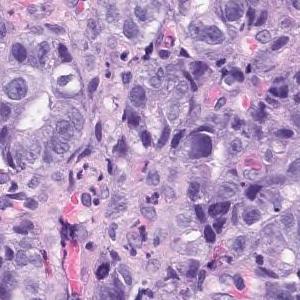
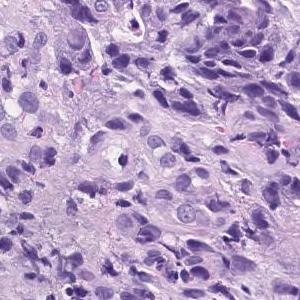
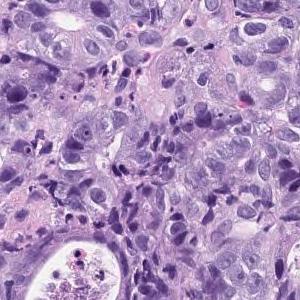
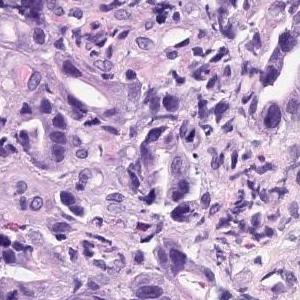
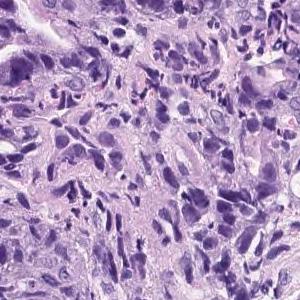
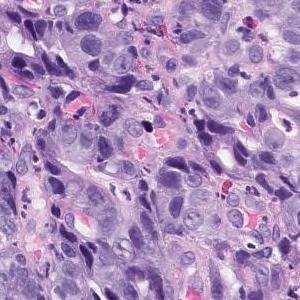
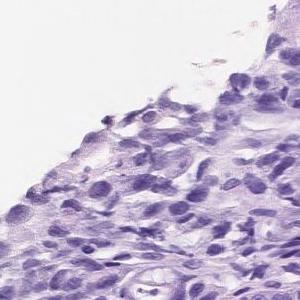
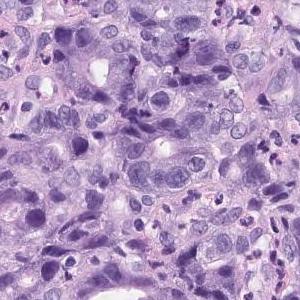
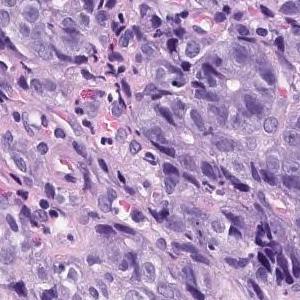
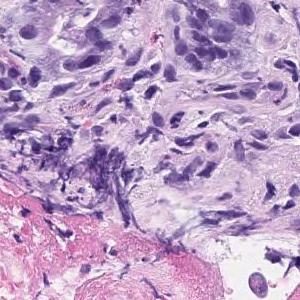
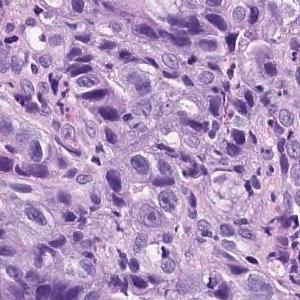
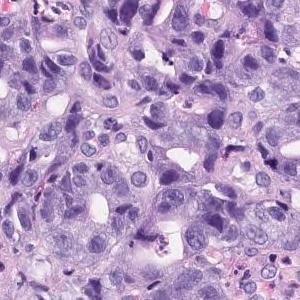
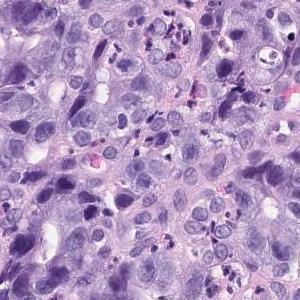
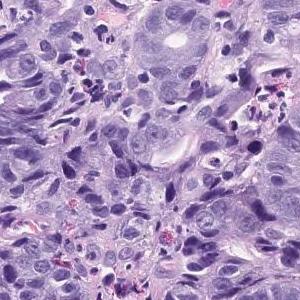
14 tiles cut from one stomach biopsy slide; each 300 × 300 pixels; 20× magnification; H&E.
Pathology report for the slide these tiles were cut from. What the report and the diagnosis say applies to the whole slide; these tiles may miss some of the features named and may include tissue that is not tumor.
In the superficial epithelium, tumor tissue that invades by forming medium-sized to small, irregular ducts is observed. Moderately differentiated adenocarcinoma.
Subtype: Moderately differentiated tubular adenocarcinoma.
